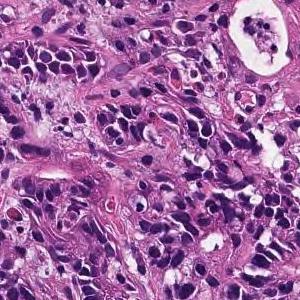
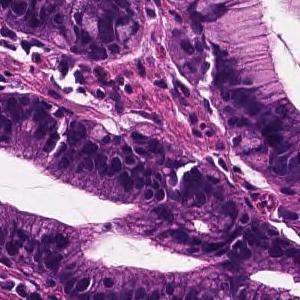
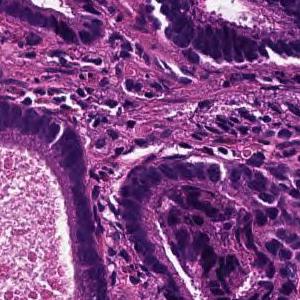
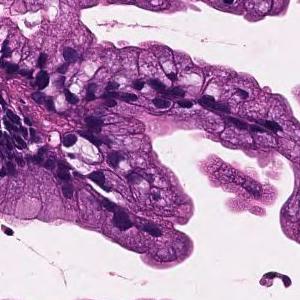
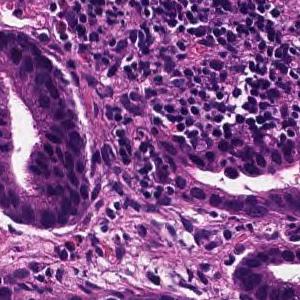
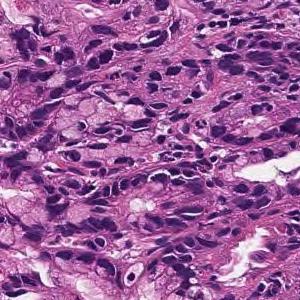
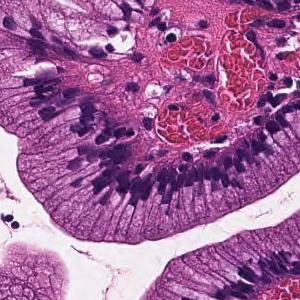
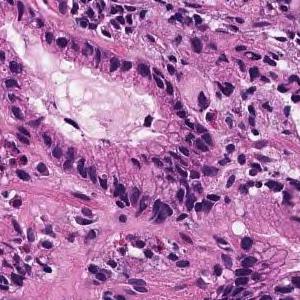
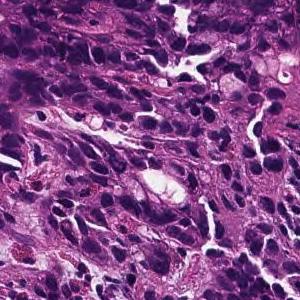
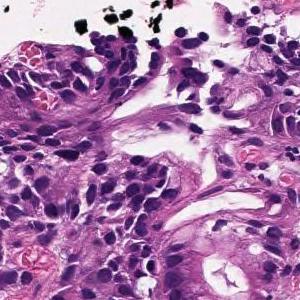
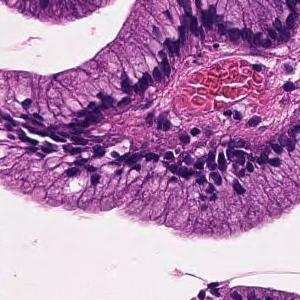
11 image tiles from a single gastric biopsy slide · hematoxylin and eosin stain.
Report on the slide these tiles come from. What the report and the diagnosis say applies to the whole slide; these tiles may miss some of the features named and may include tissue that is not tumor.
On the superficial epithelium, tumor tissue consisting of medium-sized and irregular glandular ducts partially fused and infiltrated is observed. Well to moderately differentiated tubular adenocarcinoma (well differentiated tubular adenocarcinoma-moderately differentiated tubular adenocarcinoma)
Histological subtype: Well to moderately differentiated tubular adenocarcinoma.
